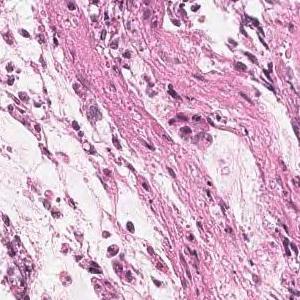
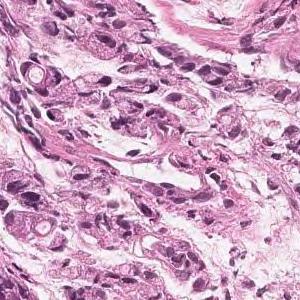
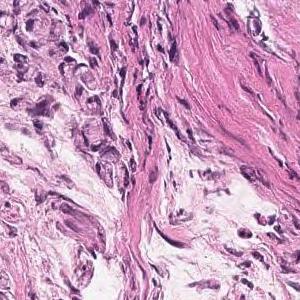
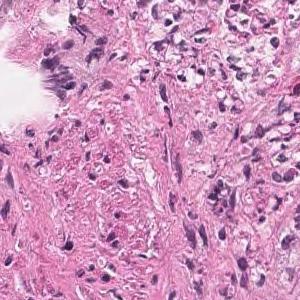
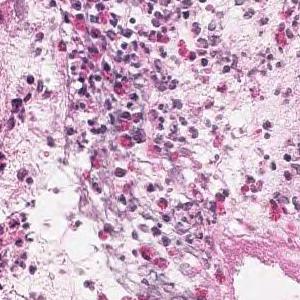
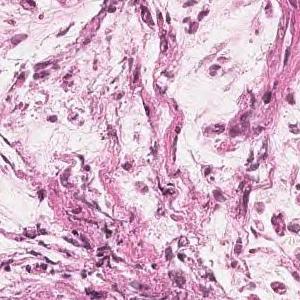
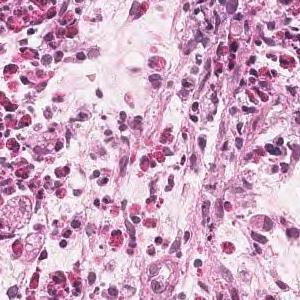
Hematoxylin and eosin stain, 7 tiles from the same stomach biopsy slide, 300×300 px each.
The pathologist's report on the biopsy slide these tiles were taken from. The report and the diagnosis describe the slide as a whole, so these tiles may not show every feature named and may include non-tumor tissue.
Tumor tissue is observed in which atypical epithelial cells with mucus in the vesicles proliferate while being isolated. Signet ring cell carcinoma
